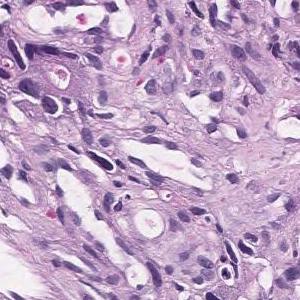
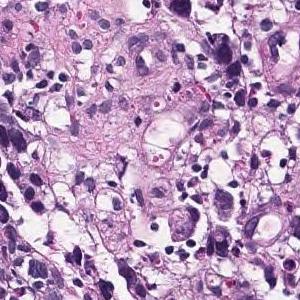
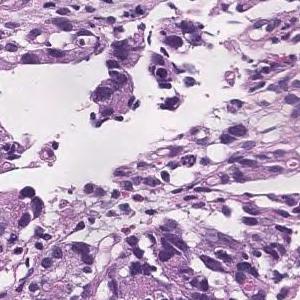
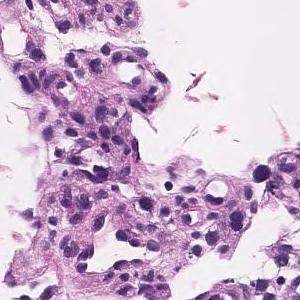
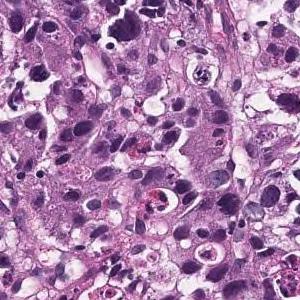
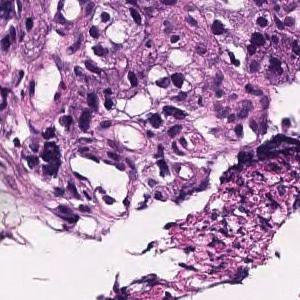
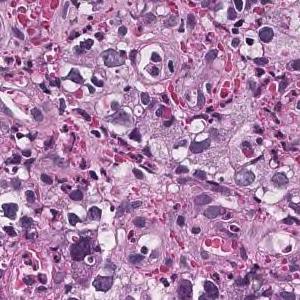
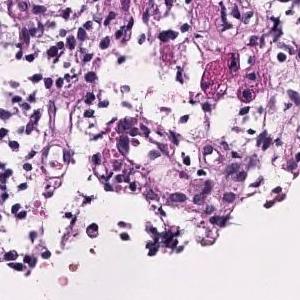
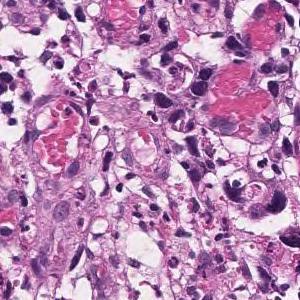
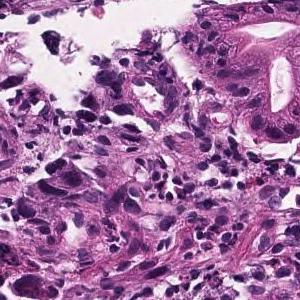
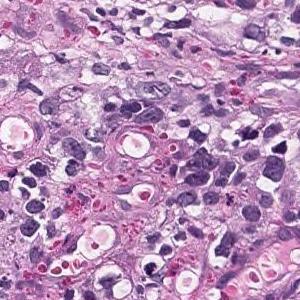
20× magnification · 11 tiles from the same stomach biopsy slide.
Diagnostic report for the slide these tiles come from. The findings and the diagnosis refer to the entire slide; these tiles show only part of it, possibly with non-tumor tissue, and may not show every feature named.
Tumor tissue consisting of medium-sized, cord-like or irregular glandular infiltration is observed in the superficial epithelium. Poorly differentiated adenocarcinoma, non-solid type or moderately differentiated tubular adenocarcinoma
The term "non-solid type" comes from the Japanese Classification of Gastric Carcinoma.
